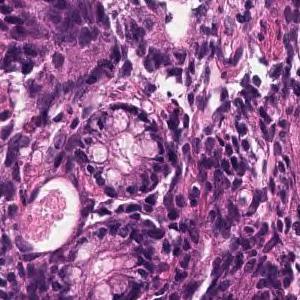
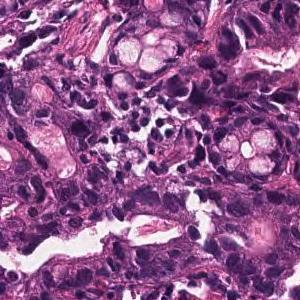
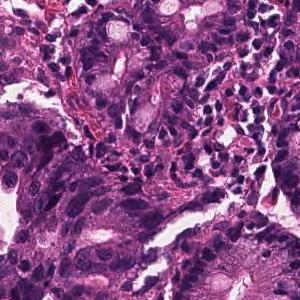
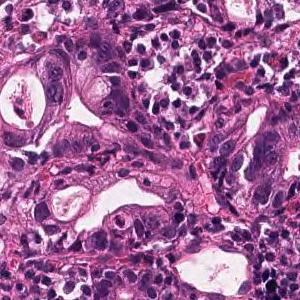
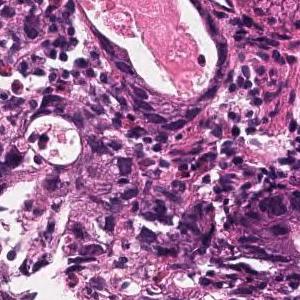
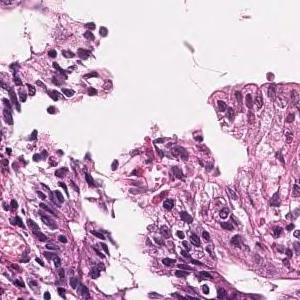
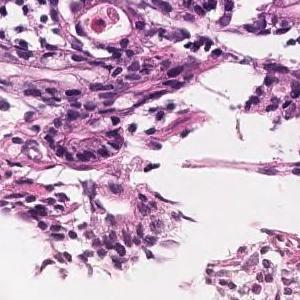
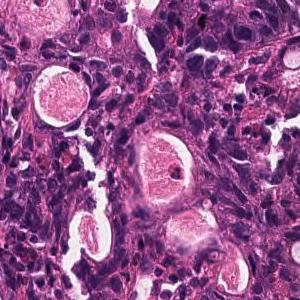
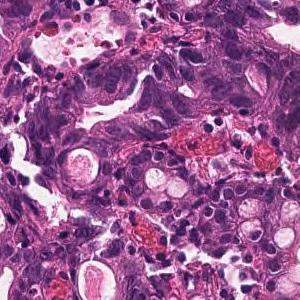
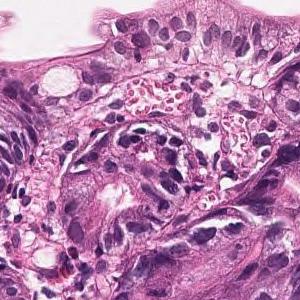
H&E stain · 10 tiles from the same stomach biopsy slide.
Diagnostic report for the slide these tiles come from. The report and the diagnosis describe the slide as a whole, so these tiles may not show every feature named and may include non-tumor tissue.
On the superficial epithelium, tumor tissue consisting of large, irregular glandular ducts partially fused and infiltrated is observed. Well to moderately differentiated tubular adenocarcinoma (well differentiated tubular adenocarcinoma, moderately differentiated tubular adenocarcinoma)
Tumor subtype: well to moderately differentiated tubular adenocarcinoma.
